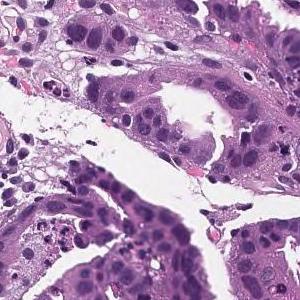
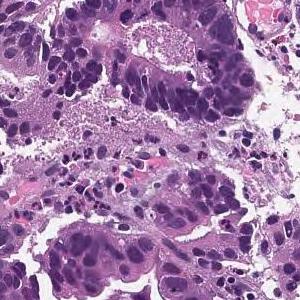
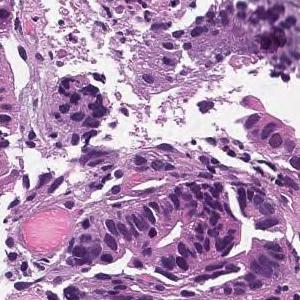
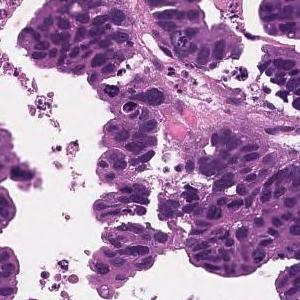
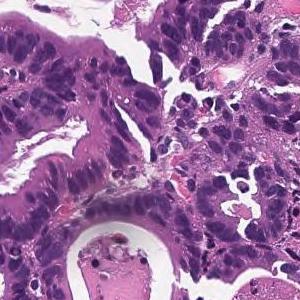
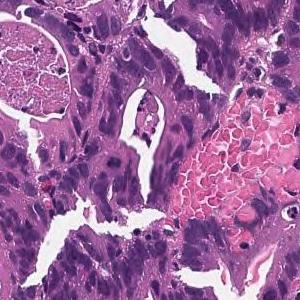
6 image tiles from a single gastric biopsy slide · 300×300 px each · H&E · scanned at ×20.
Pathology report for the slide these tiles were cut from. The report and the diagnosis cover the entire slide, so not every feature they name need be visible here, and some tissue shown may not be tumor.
In the superficial epithelium, tumor tissue that invades by forming medium-sized to small, irregular ducts is observed. moderately differentiated tubular adenocarcinoma.
